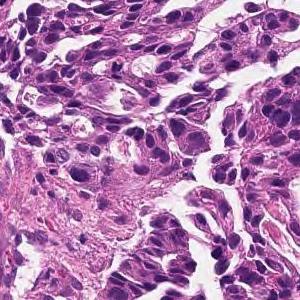
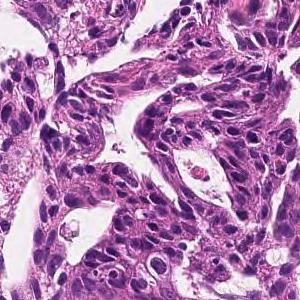
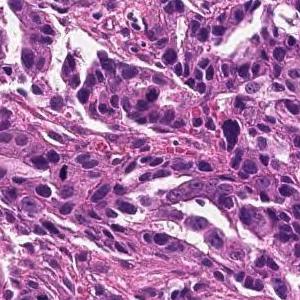
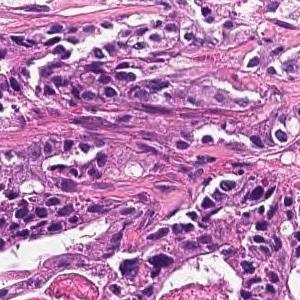
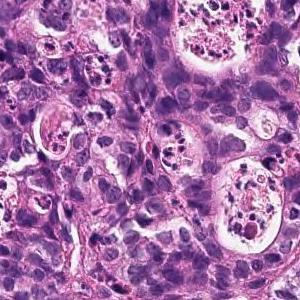
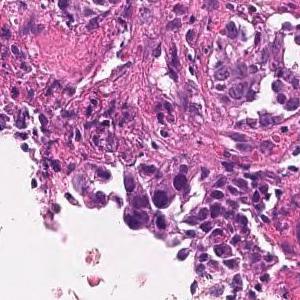
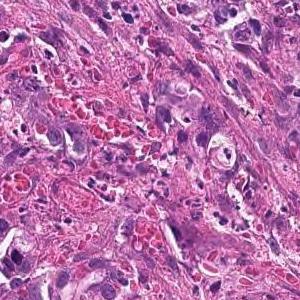
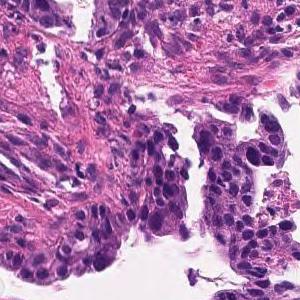
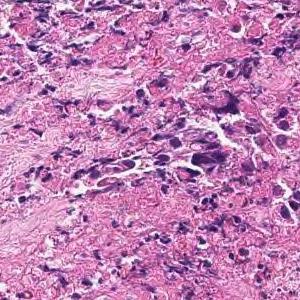
Scanned at ×20, 9 tiles from the same stomach biopsy slide.
Report on the slide these tiles come from. What the report and the diagnosis say applies to the whole slide; these tiles may miss some of the features named and may include tissue that is not tumor.
On the superficial epithelium, tumor tissue consisting of images of small to medium-sized and irregular tubules infiltrating with irregular fusion is observed. moderately differentiated tubular adenocarcinoma
